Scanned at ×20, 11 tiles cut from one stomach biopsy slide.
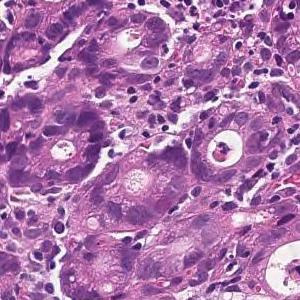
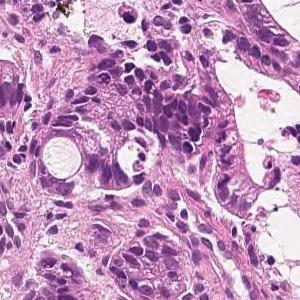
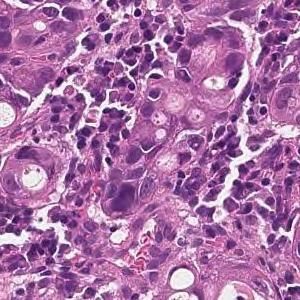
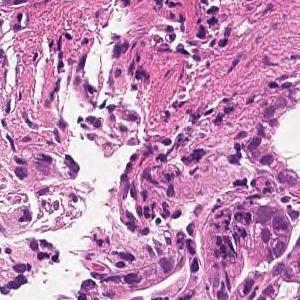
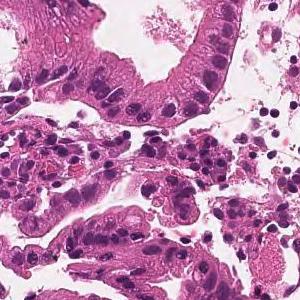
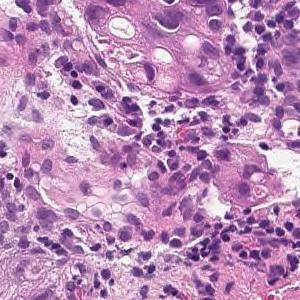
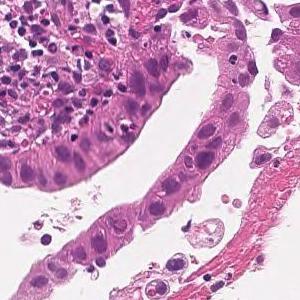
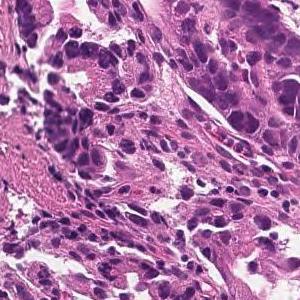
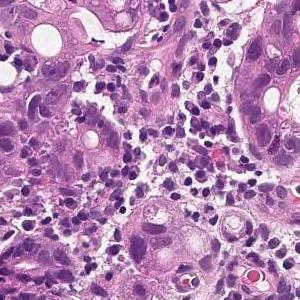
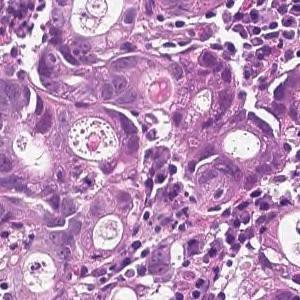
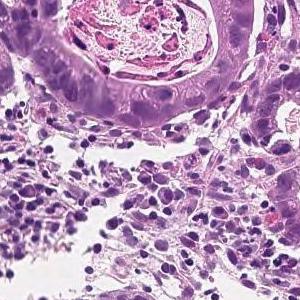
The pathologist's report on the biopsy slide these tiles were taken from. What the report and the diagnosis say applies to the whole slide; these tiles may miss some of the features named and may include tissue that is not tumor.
On the superficial epithelium, tumor tissue is found in which medium-sized irregular gland ducts fuse with each other and infiltrate. moderately differentiated tubular adenocarcinoma
